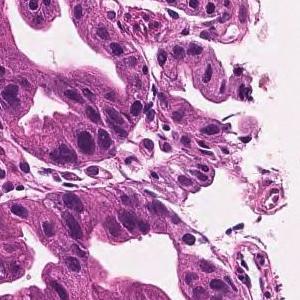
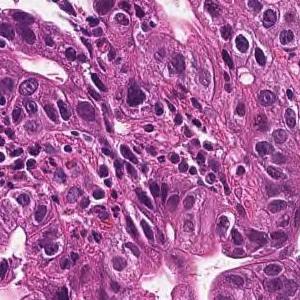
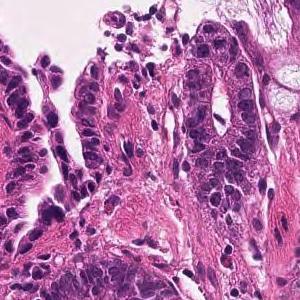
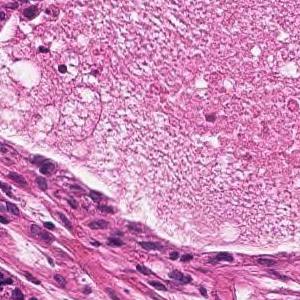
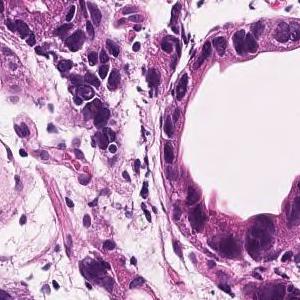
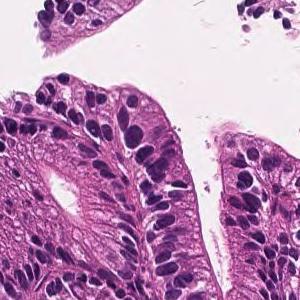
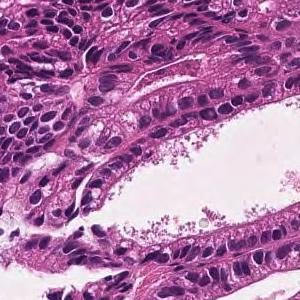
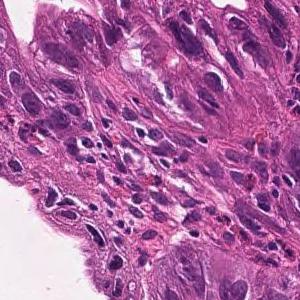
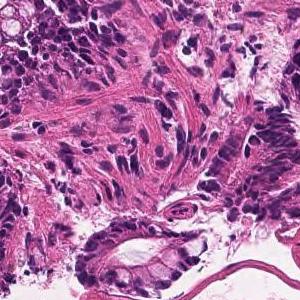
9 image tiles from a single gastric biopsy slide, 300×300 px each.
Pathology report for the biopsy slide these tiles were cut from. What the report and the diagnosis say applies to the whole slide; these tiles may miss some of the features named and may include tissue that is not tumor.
In the superficial epithelium, tumor tissue that invades by forming medium-sized to small, irregular ducts is observed. moderately differentiated tubular adenocarcinoma.
